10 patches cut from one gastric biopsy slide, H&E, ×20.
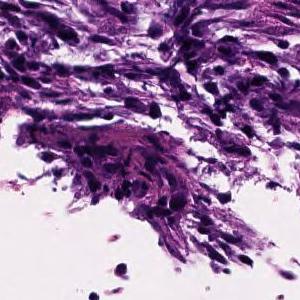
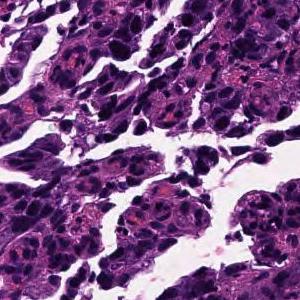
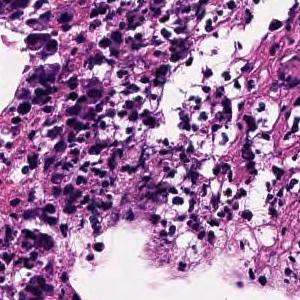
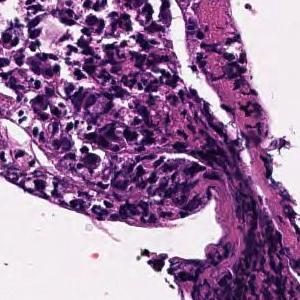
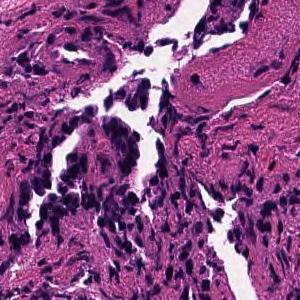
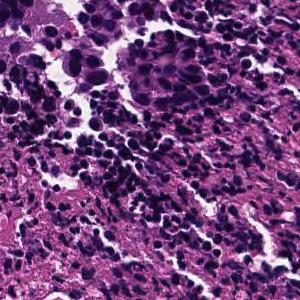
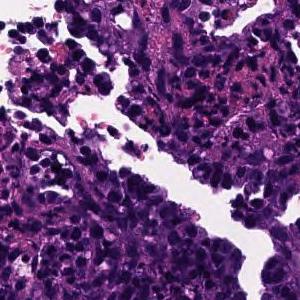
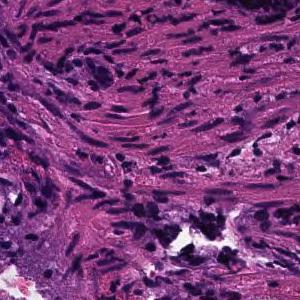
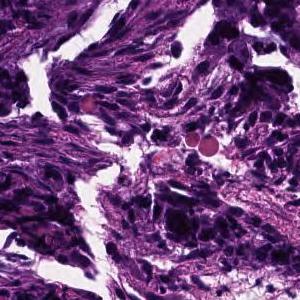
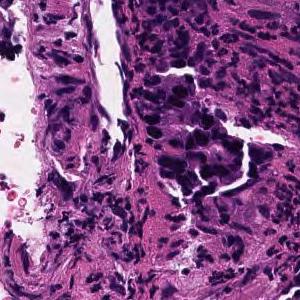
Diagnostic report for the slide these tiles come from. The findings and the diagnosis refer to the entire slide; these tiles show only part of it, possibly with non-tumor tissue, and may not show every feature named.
In the superficial epithelium, tumor tissue that invades by forming medium-sized to small, irregular ducts is observed. moderately differentiated tubular adenocarcinoma.
